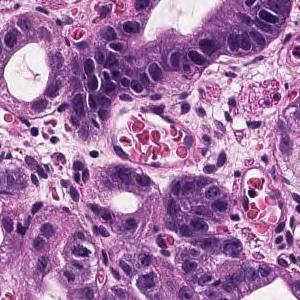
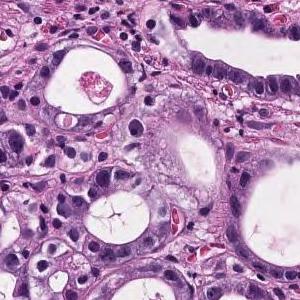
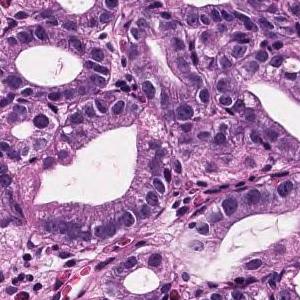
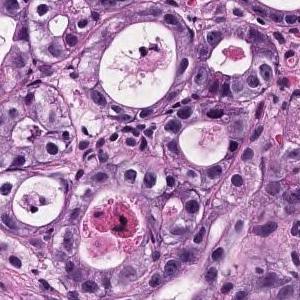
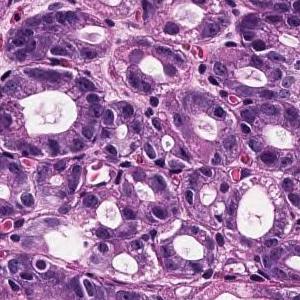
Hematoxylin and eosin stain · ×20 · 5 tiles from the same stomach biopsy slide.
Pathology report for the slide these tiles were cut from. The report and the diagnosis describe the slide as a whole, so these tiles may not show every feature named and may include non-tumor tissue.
On the superficial epithelium, tumor tissue that infiltrates by forming medium-sized round or small irregular ducts is observed. Papillary adenocarcinoma
